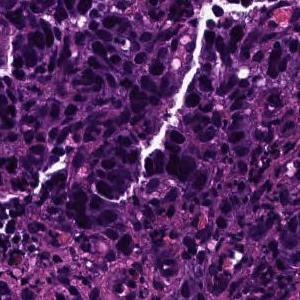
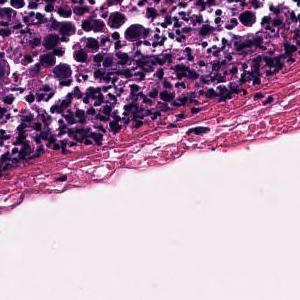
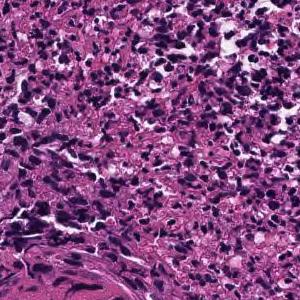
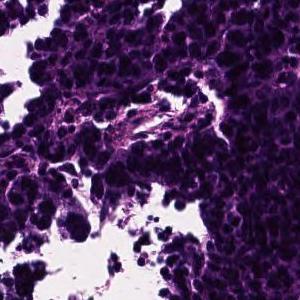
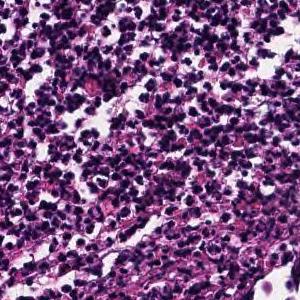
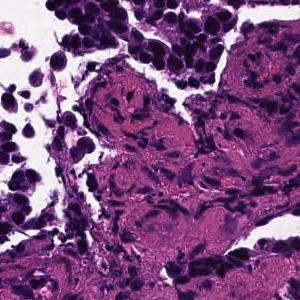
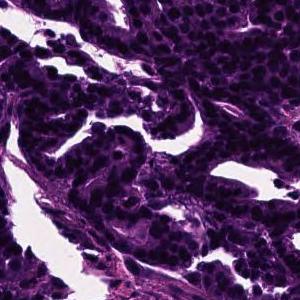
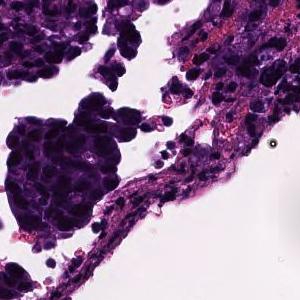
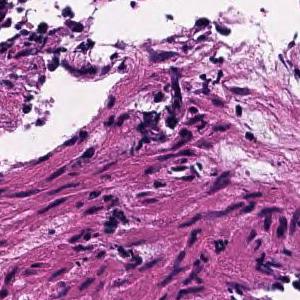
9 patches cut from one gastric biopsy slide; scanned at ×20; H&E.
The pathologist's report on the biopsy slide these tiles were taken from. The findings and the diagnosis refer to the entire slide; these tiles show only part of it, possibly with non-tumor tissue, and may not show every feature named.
In the superficial epithelium, tumor tissue that invades by forming medium-sized to small, irregular ducts is observed. moderately differentiated tubular adenocarcinoma.
